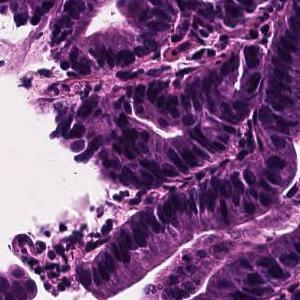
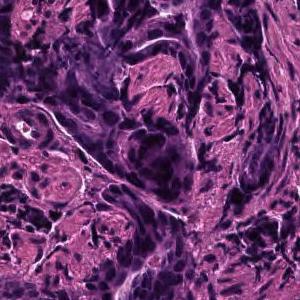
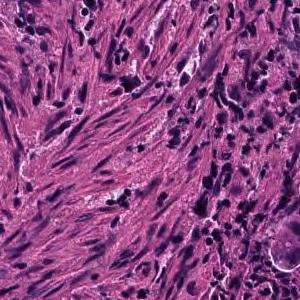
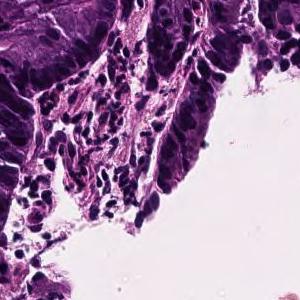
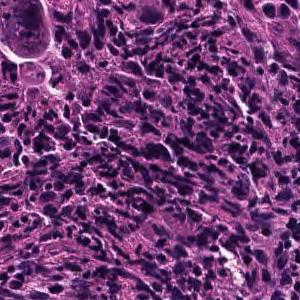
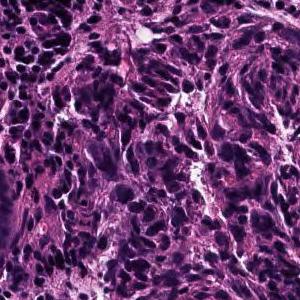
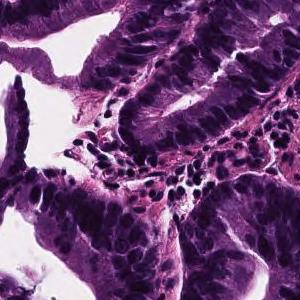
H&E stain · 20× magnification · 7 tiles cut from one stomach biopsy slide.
Report on the slide these tiles come from. The report describes the whole slide, diagnosis included: not every finding it names need appear in these tiles, which may also show non-tumor tissue.
On the superficial epithelium, tumor tissue consisting of large, irregular glandular ducts partially fused and infiltrated is observed. Well to moderately differentiated tubular adenocarcinoma (well differentiated tubular adenocarcinoma, moderately differentiated tubular adenocarcinoma)
Subtype: Well to moderately differentiated tubular adenocarcinoma.
